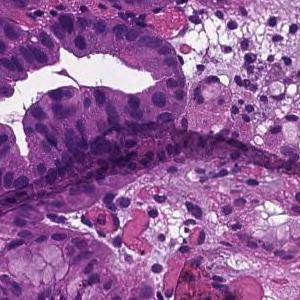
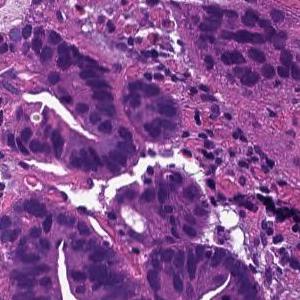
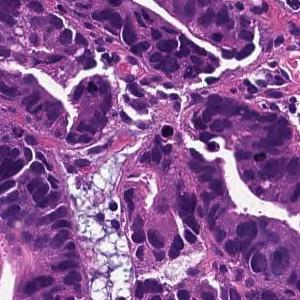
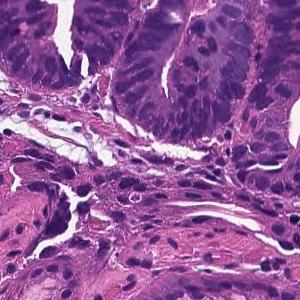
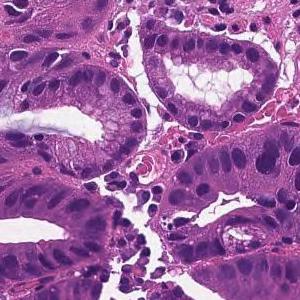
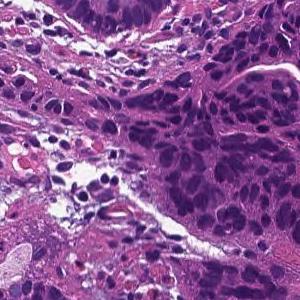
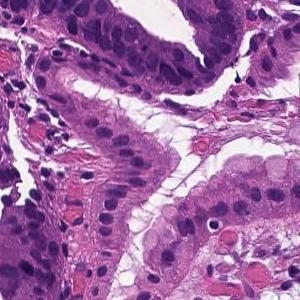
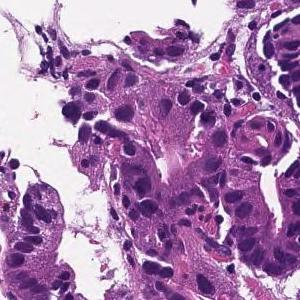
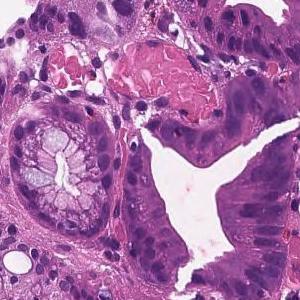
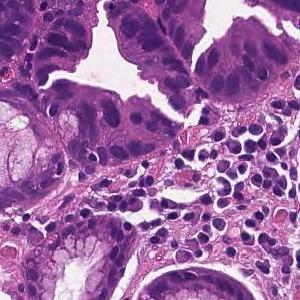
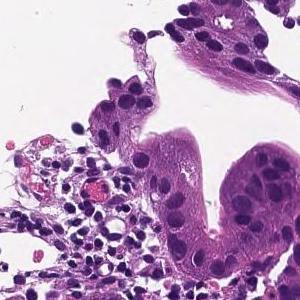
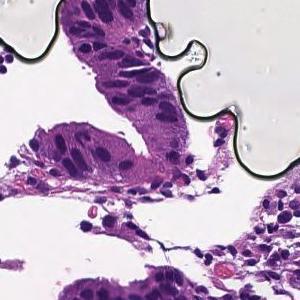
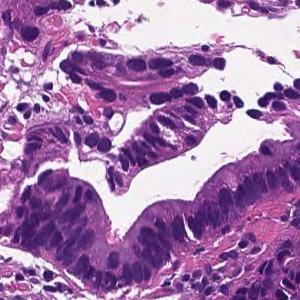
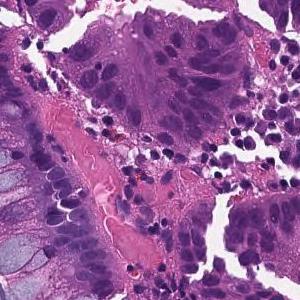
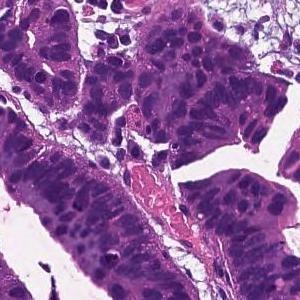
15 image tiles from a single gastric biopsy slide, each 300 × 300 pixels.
Report on the slide these tiles come from. The report and the diagnosis cover the entire slide, so not every feature they name need be visible here, and some tissue shown may not be tumor.
From the superficial epithelium to the muscularis mucosae, tumor tissue consisting of medium-sized and irregular glandular ducts infiltrating is observed. Well differentiated tubular adenocarcinoma
